13 tiles from the same stomach biopsy slide; 300×300 px each; ×20.
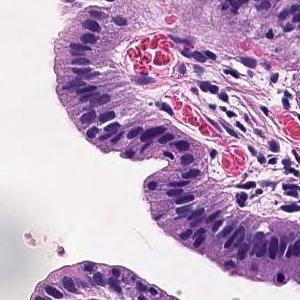
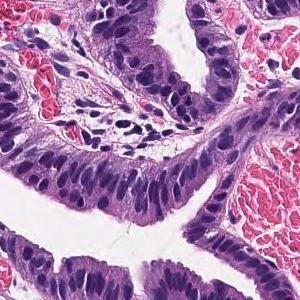
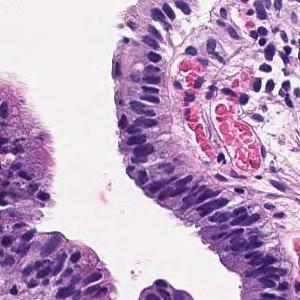
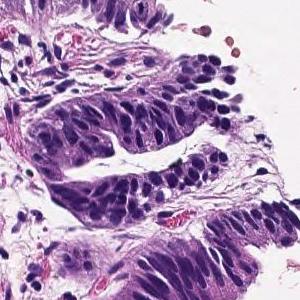
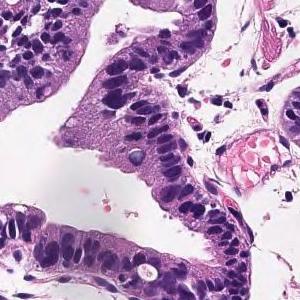
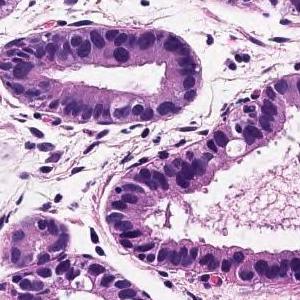
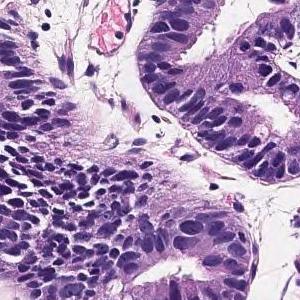
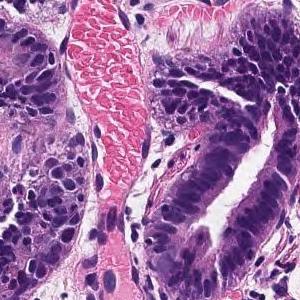
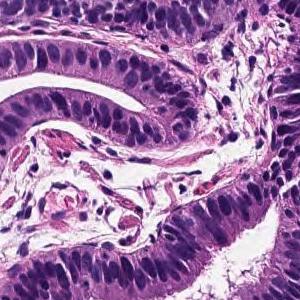
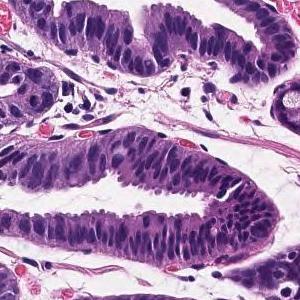
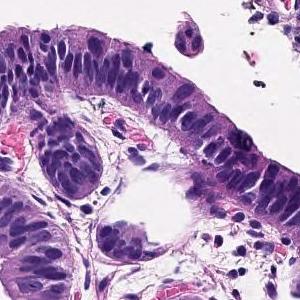
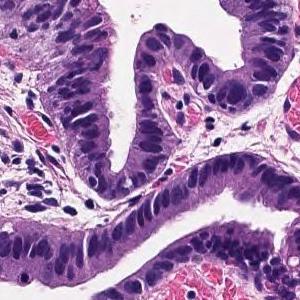
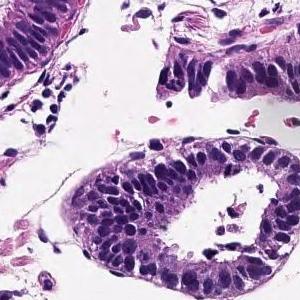
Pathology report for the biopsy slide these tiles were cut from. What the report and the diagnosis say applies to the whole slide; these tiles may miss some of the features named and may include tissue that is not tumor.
Tumor cells are large, highly columnar, large club-shaped nuclei, and are associated with chromatin aggregation. Papillary adenocarcinoma.
